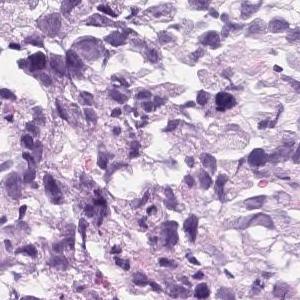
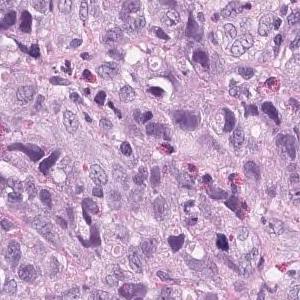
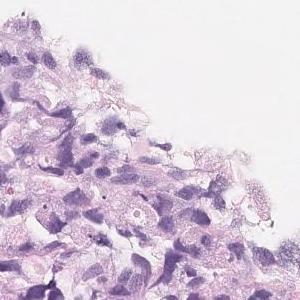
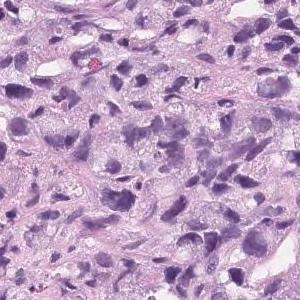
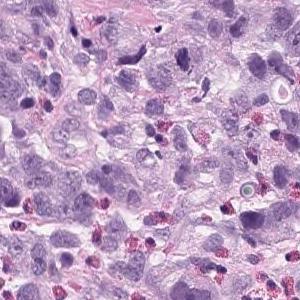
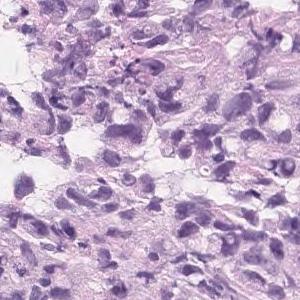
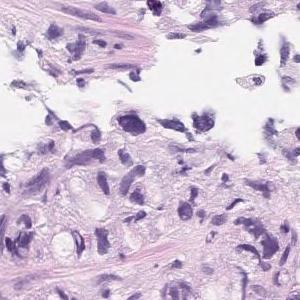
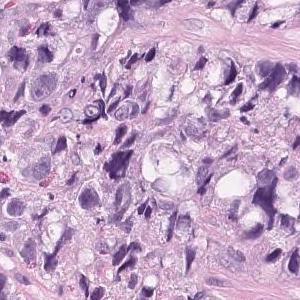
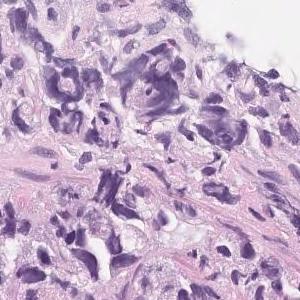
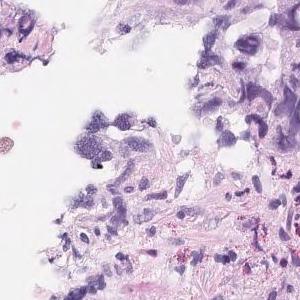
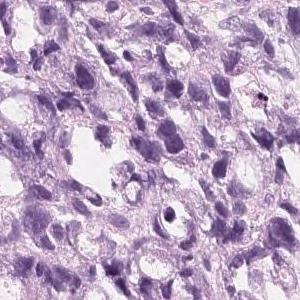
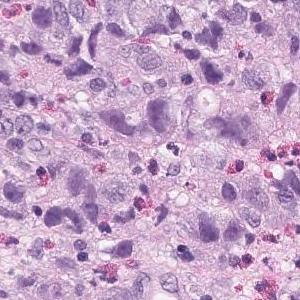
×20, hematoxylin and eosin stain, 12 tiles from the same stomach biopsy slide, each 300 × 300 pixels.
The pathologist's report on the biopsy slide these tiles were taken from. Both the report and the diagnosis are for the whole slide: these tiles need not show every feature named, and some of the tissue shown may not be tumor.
Tumor tissue that infiltrates and proliferates by forming small glandular cavities in the superficial layer to the submucosa or forming a mass is observed. moderately differentiated tubular adenocarcinoma
